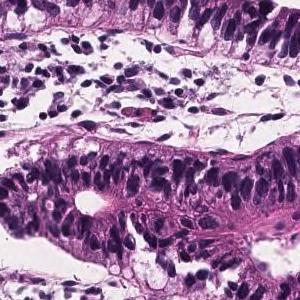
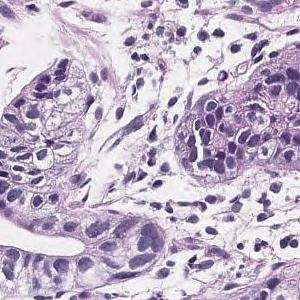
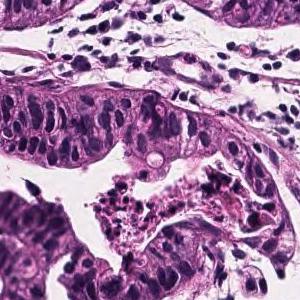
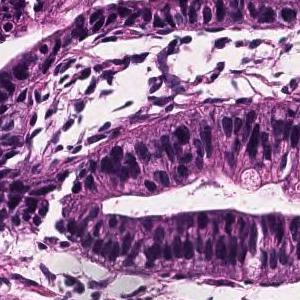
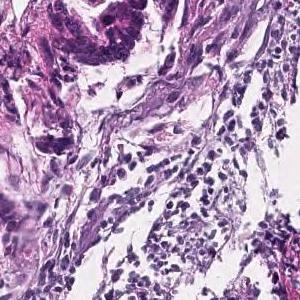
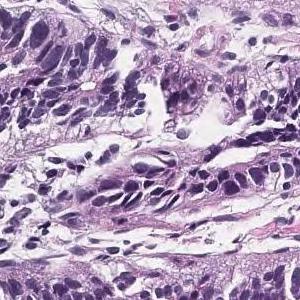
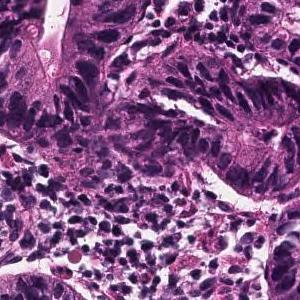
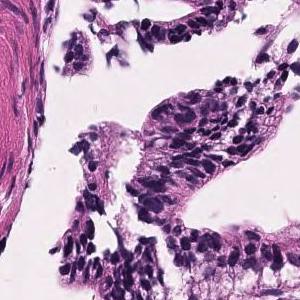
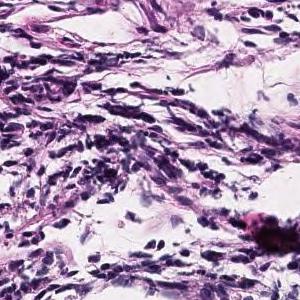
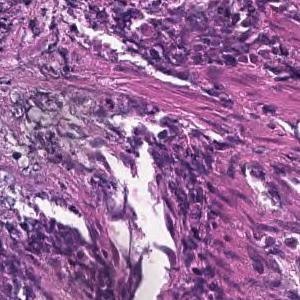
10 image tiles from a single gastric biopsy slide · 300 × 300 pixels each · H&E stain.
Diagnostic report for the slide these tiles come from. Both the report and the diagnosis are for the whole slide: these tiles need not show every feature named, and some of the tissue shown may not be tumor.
Tumor cells are large, highly columnar, large club-shaped nuclei, and are associated with chromatin aggregation. Papillary adenocarcinoma.
